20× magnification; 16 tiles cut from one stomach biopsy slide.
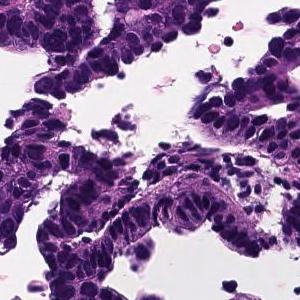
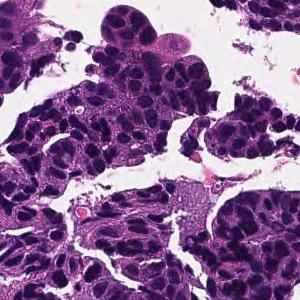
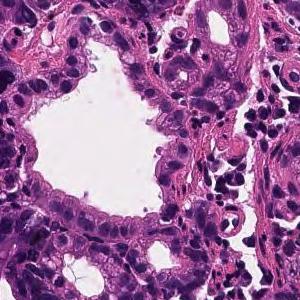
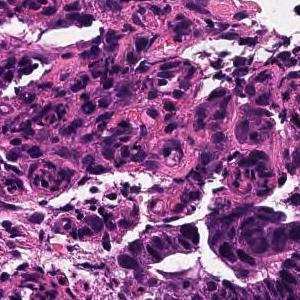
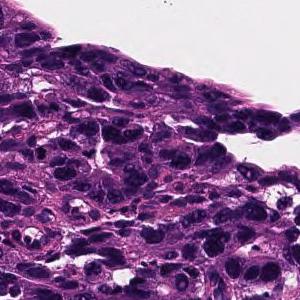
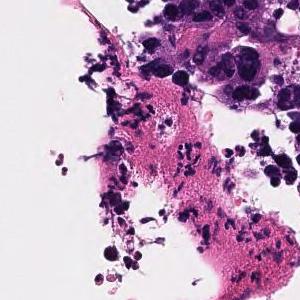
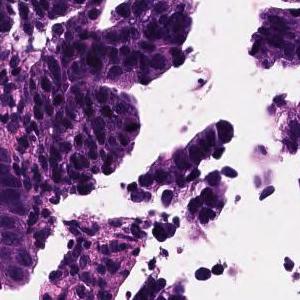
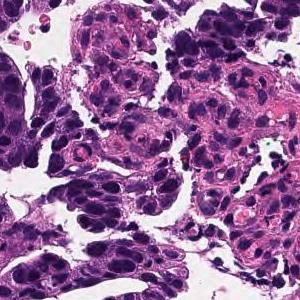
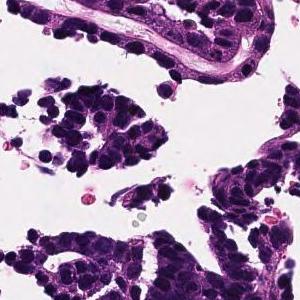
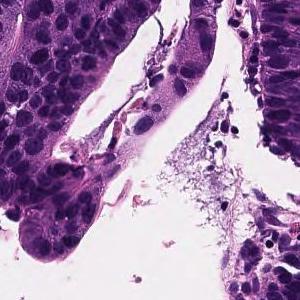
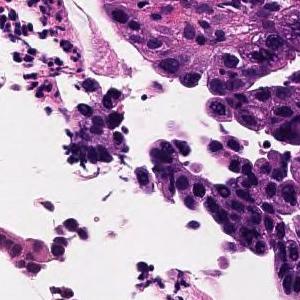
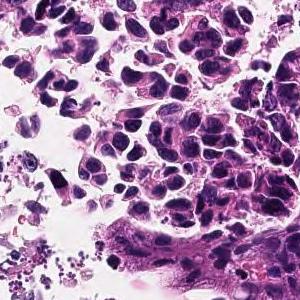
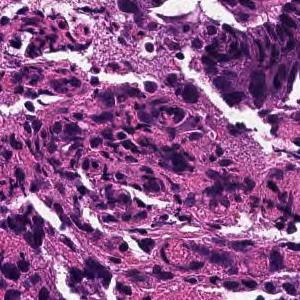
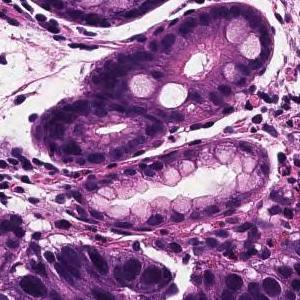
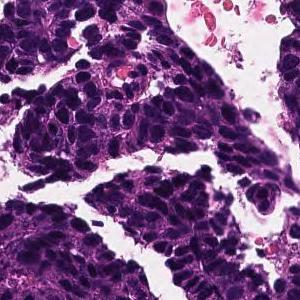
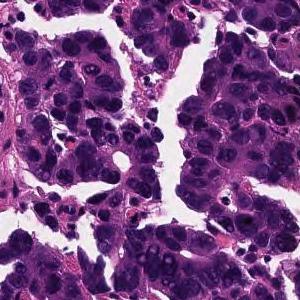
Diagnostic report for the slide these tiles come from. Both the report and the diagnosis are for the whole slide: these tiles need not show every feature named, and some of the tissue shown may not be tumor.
In the superficial epithelium, tumor tissue that invades by forming medium-sized to small, irregular ducts is observed. moderately differentiated tubular adenocarcinoma.
